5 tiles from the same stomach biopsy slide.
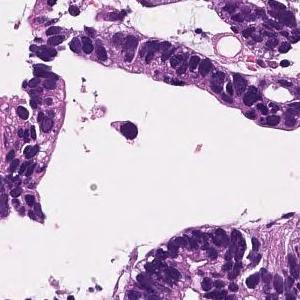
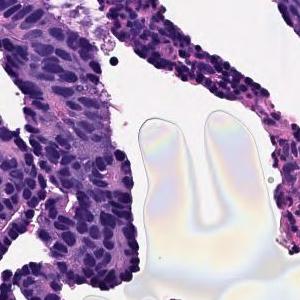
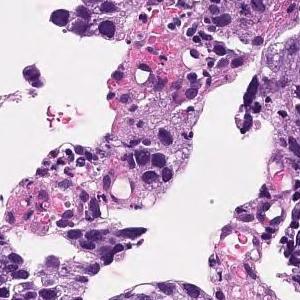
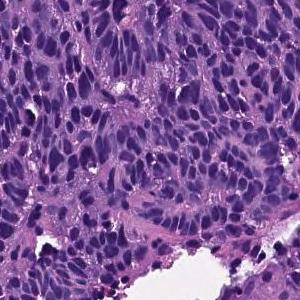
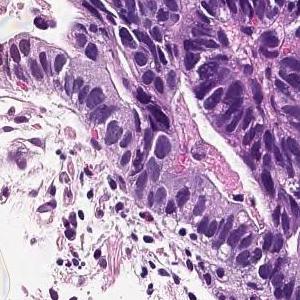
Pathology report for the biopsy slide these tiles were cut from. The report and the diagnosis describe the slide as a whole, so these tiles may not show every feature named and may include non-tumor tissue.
In the superficial epithelium, tumor tissue that invades by forming medium-sized to small, irregular ducts is observed. moderately differentiated tubular adenocarcinoma.
